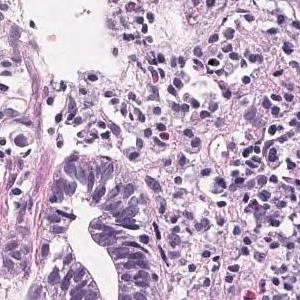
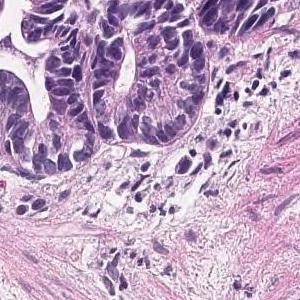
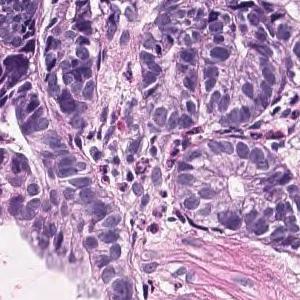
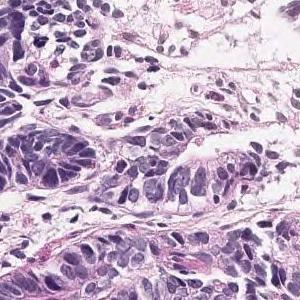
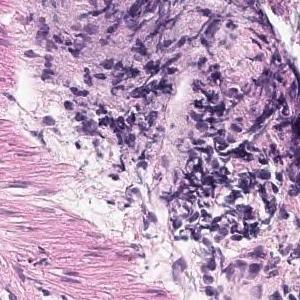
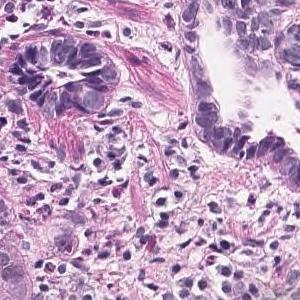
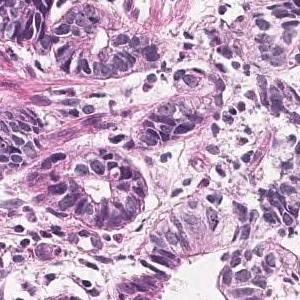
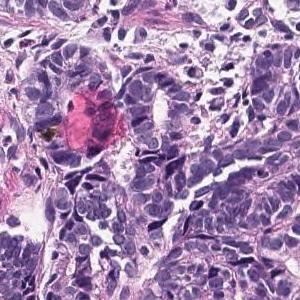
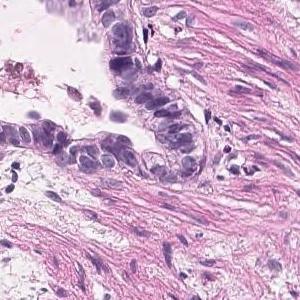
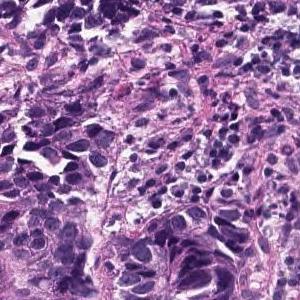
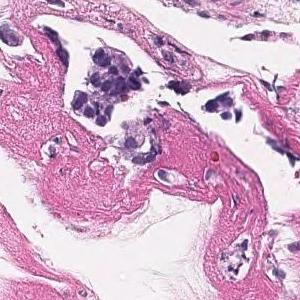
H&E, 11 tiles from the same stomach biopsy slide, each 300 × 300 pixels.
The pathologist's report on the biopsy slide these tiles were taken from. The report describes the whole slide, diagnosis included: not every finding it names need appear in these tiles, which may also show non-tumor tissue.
In the superficial epithelium, tumor tissue that invades by forming medium-sized to small, irregular ducts is observed. Well differentiated tubular adenocarcinoma.
